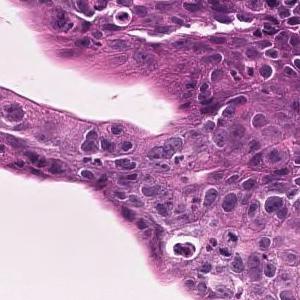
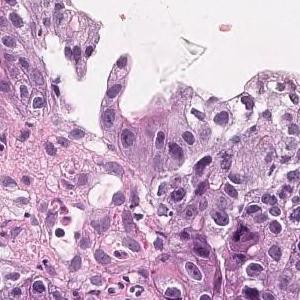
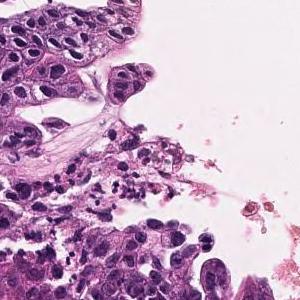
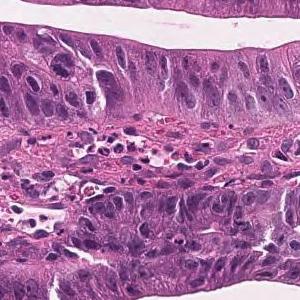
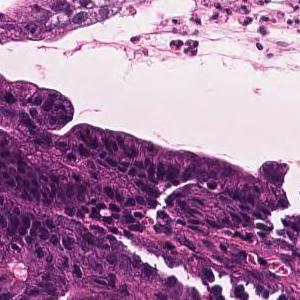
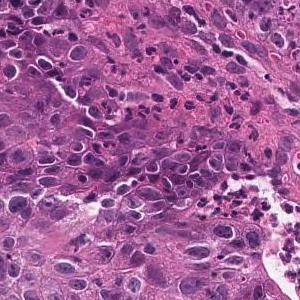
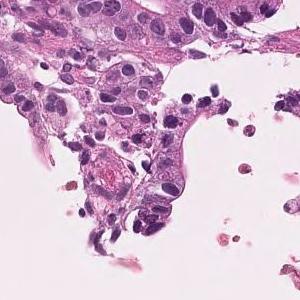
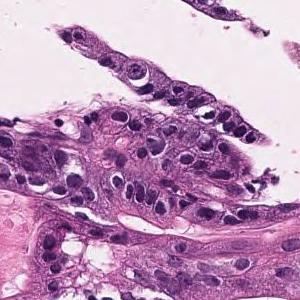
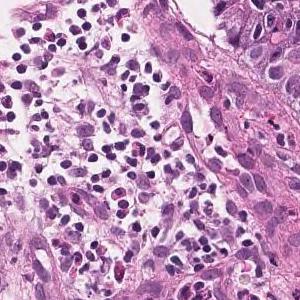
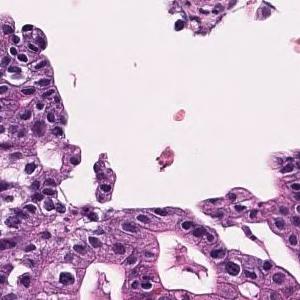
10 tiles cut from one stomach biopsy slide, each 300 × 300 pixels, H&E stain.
Diagnostic report for the slide these tiles come from. Both the report and the diagnosis are for the whole slide: these tiles need not show every feature named, and some of the tissue shown may not be tumor.
In the superficial epithelium, tumor tissue that invades by forming medium-sized to small, irregular ducts is observed. Well differentiated tubular adenocarcinoma.
